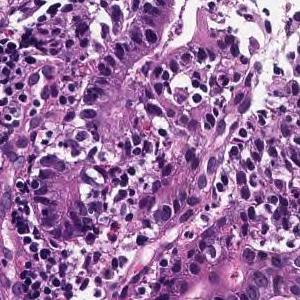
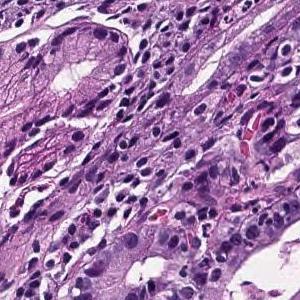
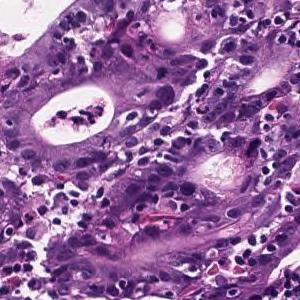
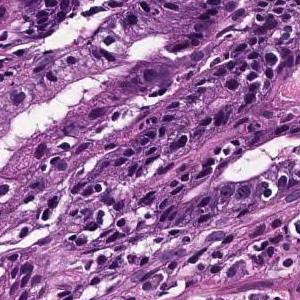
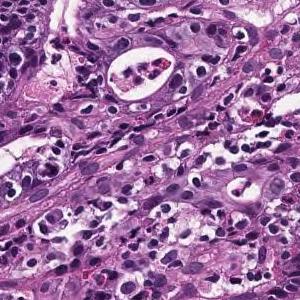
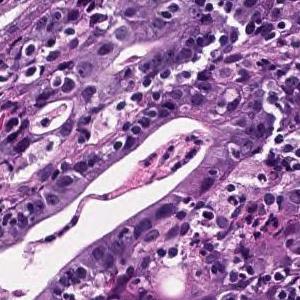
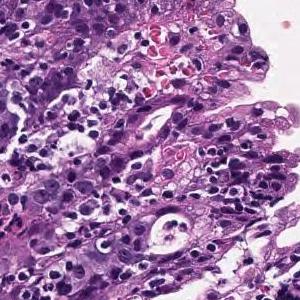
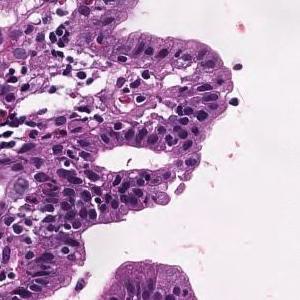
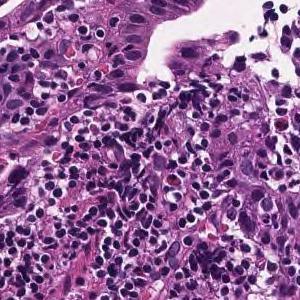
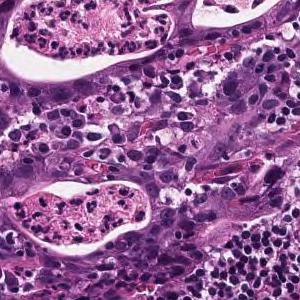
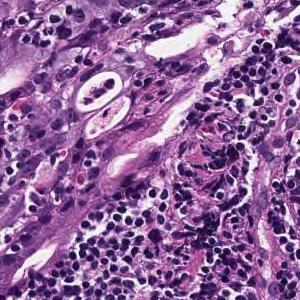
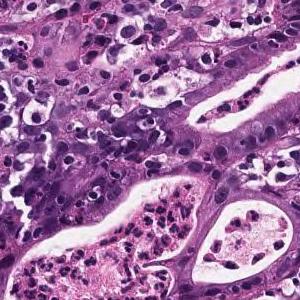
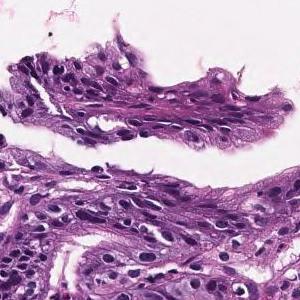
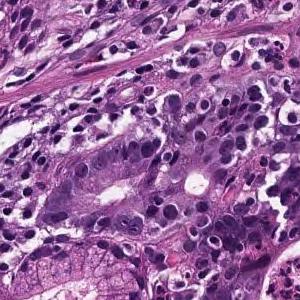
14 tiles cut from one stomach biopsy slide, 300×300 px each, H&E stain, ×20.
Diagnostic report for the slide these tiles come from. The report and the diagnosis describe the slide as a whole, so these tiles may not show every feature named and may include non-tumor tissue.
In the superficial epithelium, tumor tissue that invades by forming medium-sized to small, irregular ducts is observed. moderately differentiated tubular adenocarcinoma.
